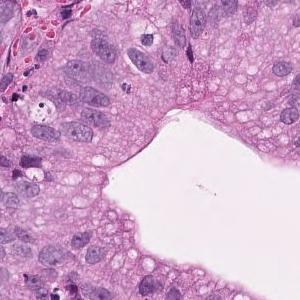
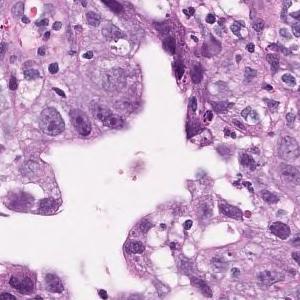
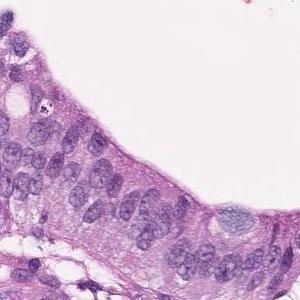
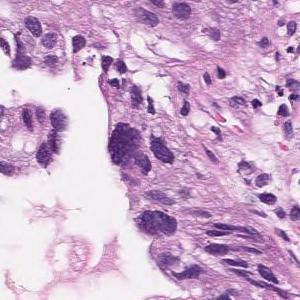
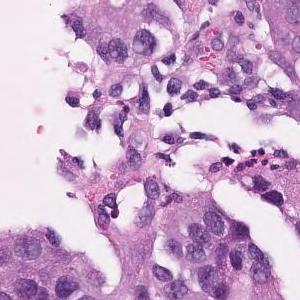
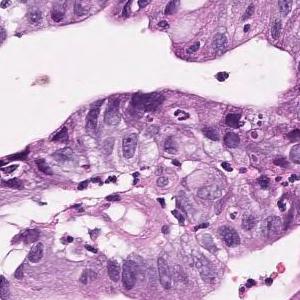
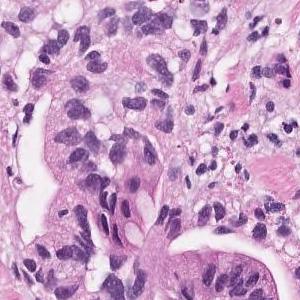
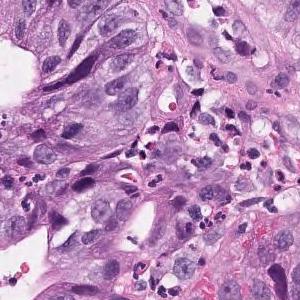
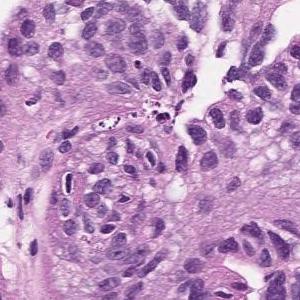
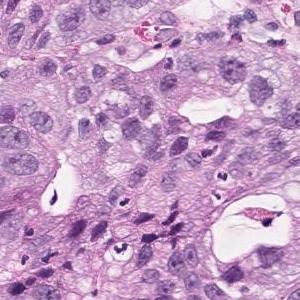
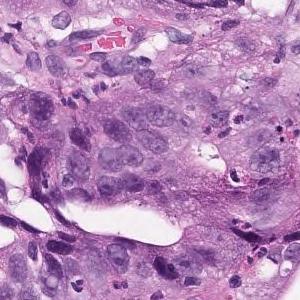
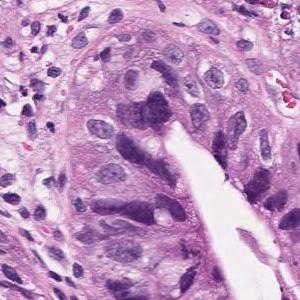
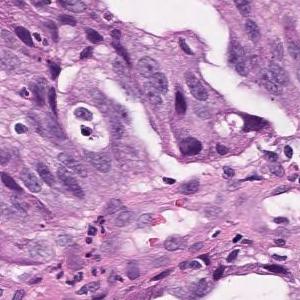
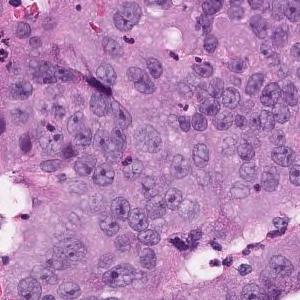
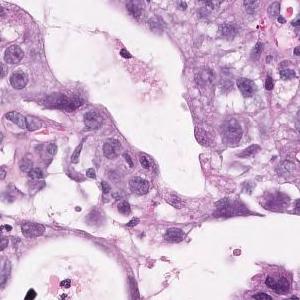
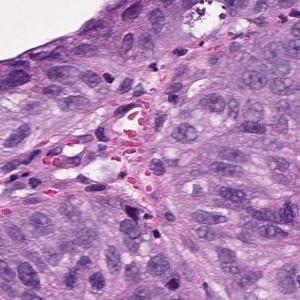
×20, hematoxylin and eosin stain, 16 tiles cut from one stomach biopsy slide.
Diagnostic report for the slide these tiles come from. What the report and the diagnosis say applies to the whole slide; these tiles may miss some of the features named and may include tissue that is not tumor.
On the superficial epithelium, tumor tissue consisting of medium to small irregular tubules partially fused and proliferated is observed. Well differentiated tubular adenocarcinoma
